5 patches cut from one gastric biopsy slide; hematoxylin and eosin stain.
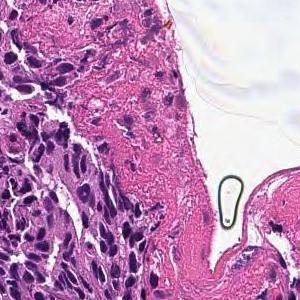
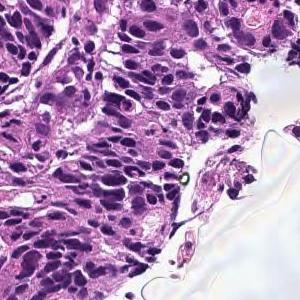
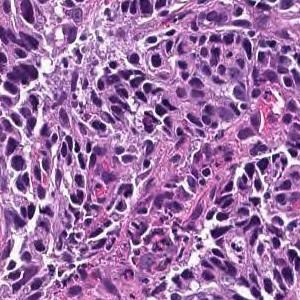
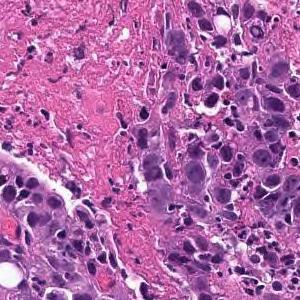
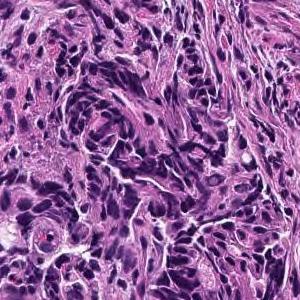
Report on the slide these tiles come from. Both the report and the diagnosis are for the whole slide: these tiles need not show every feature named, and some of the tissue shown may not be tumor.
In the superficial epithelium, tumor tissue that invades by forming medium-sized to small, irregular ducts is observed. moderately differentiated tubular adenocarcinoma.
